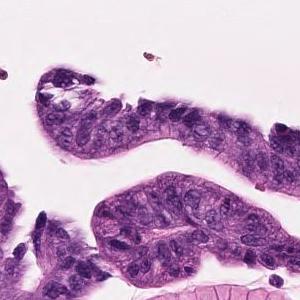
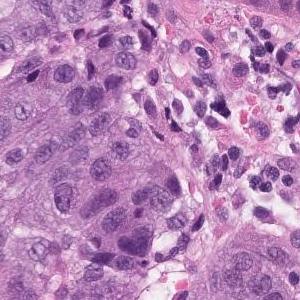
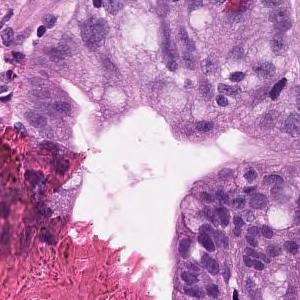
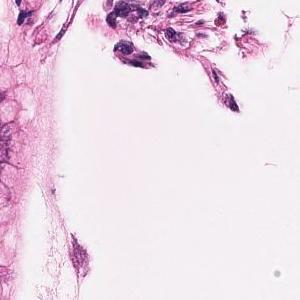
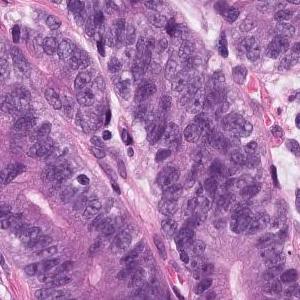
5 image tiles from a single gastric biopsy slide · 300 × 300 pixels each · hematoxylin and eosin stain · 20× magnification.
Pathology report for the biopsy slide these tiles were cut from. What the report and the diagnosis say applies to the whole slide; these tiles may miss some of the features named and may include tissue that is not tumor.
On the superficial epithelium, tumor tissue consisting of large, irregular glandular ducts partially fused and infiltrated is observed. Well to moderately differentiated tubular adenocarcinoma (well differentiated tubular adenocarcinoma, moderately differentiated tubular adenocarcinoma)
Histologic type: Well to moderately differentiated tubular adenocarcinoma.
